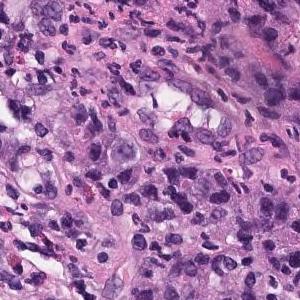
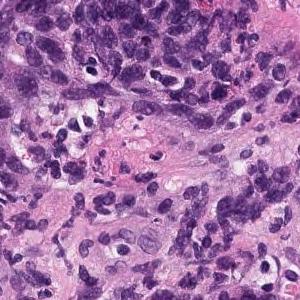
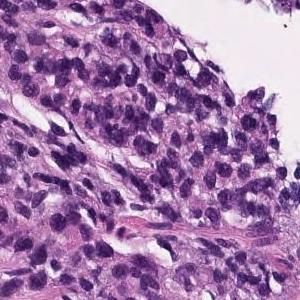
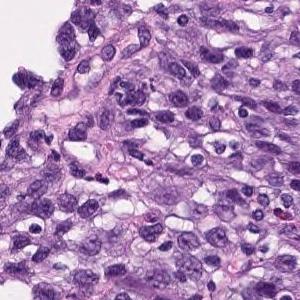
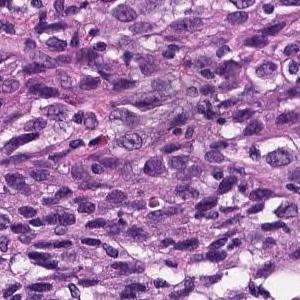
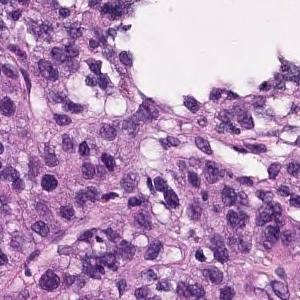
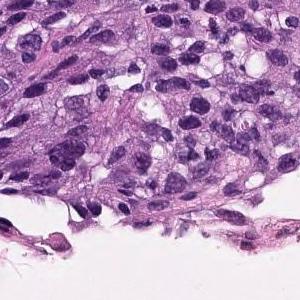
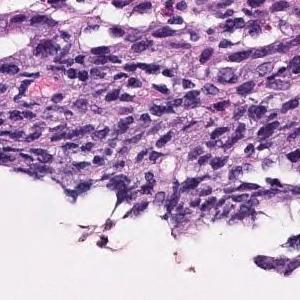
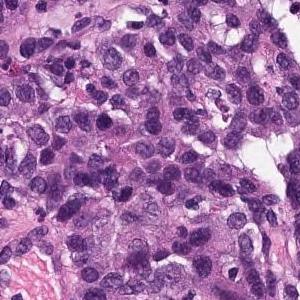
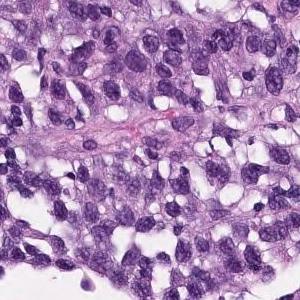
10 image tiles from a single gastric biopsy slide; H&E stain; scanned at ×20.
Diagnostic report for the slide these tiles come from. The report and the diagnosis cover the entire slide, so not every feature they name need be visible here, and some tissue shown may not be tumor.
In the superficial epithelium, tumor tissue that invades by forming medium-sized to small, irregular ducts is observed. Moderately differentiated adenocarcinoma.
Histologic type: Moderately differentiated tubular adenocarcinoma.
